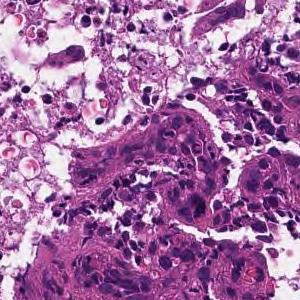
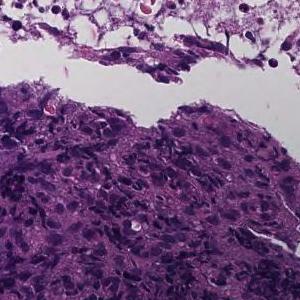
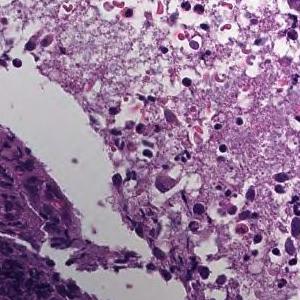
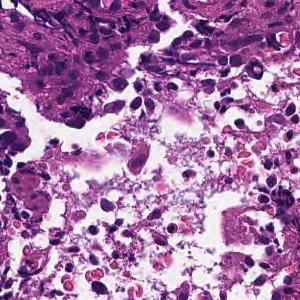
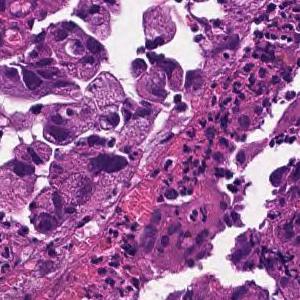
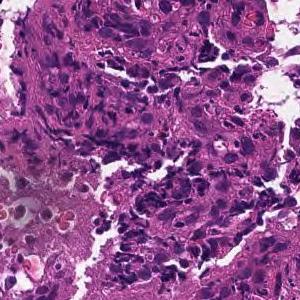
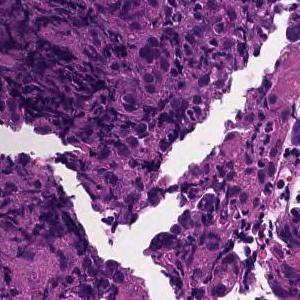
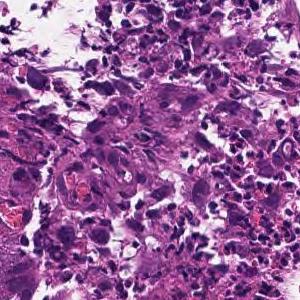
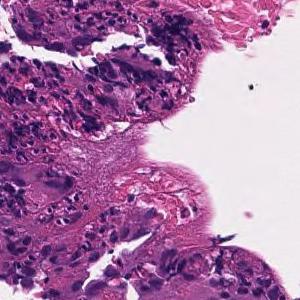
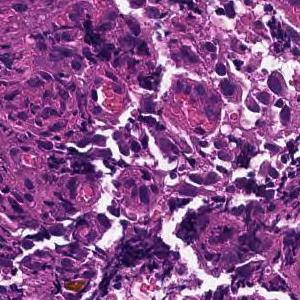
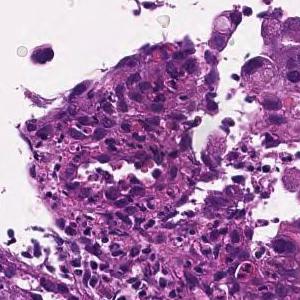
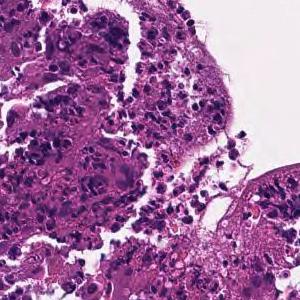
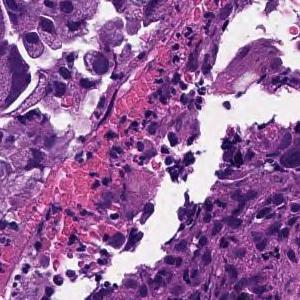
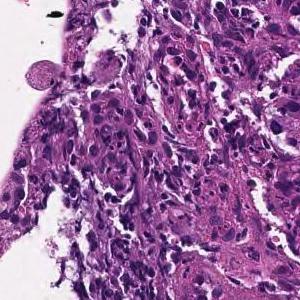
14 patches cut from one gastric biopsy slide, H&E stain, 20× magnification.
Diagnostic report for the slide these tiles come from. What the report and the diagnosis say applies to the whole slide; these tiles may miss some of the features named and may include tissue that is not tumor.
Tumor cells are medium to large, cuboidal, and have little tendency to differentiate. Poorly differentiated adenocarcinoma, solid-type  or moderately differentiated tubular adenocarcinoma
Dataset label: poorly differentiated adenocarcinoma, solid type. This name comes from the Japanese Classification of Gastric Carcinoma; the WHO 2019 classification calls it tubular adenocarcinoma, poorly differentiated.
